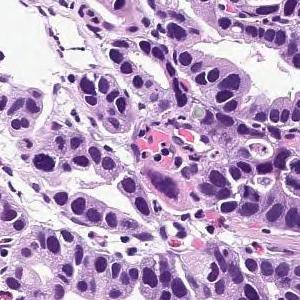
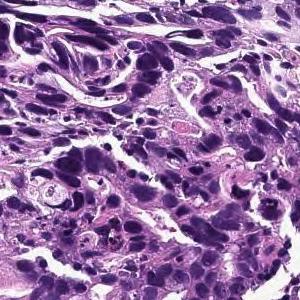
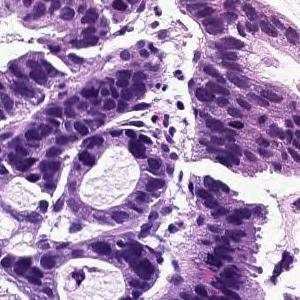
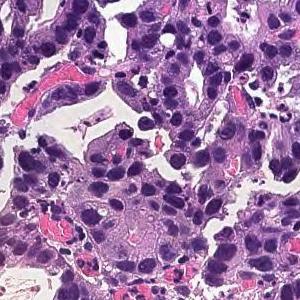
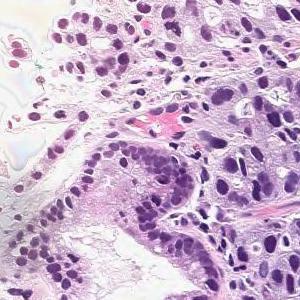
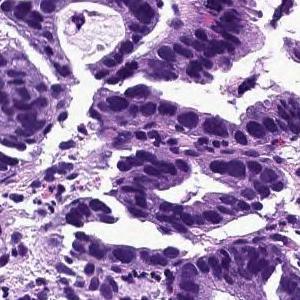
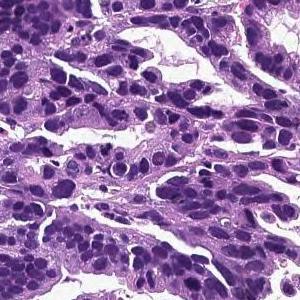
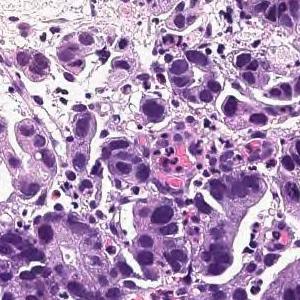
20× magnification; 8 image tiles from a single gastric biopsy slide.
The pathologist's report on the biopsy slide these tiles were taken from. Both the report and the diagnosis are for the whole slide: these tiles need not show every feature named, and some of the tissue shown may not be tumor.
On the superficial epithelium, tumor tissue consisting of large irregular glandular ducts partially fused and infiltrated is observed. Well to moderately differentiated tubular adenocarcinoma (well differentiated tubular adenocarcinoma, moderately differentiated tubular adenocarcinoma)
Histologic type: Well to moderately differentiated tubular adenocarcinoma.
